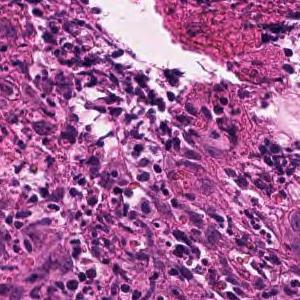
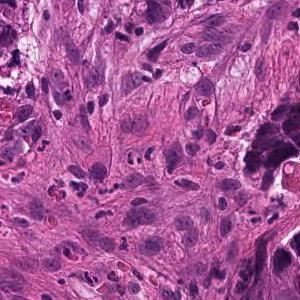
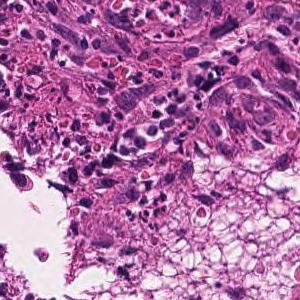
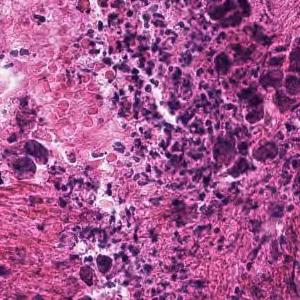
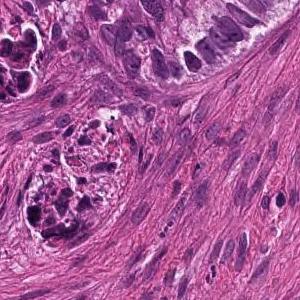
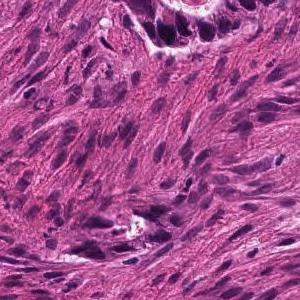
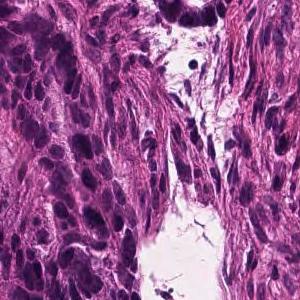
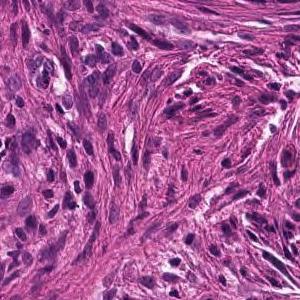
Hematoxylin and eosin stain; 20× magnification; 8 tiles cut from one stomach biopsy slide; 300 × 300 pixels each.
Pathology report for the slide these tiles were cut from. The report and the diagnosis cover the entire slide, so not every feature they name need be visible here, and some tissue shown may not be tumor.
In the superficial epithelium, tumor tissue that invades by forming medium-sized to small, irregular ducts is observed. moderately differentiated tubular adenocarcinoma.
